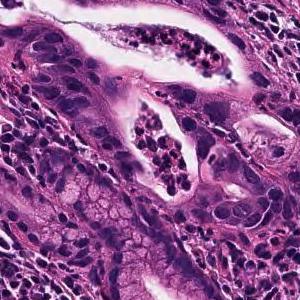
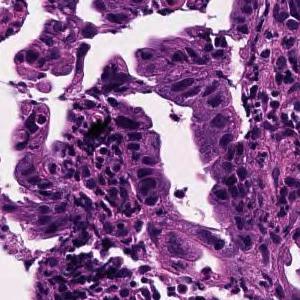
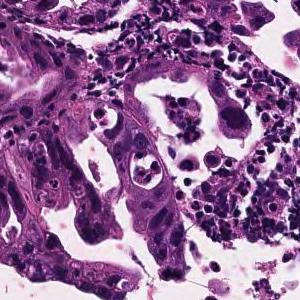
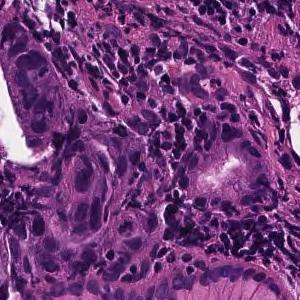
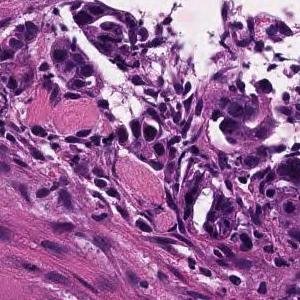
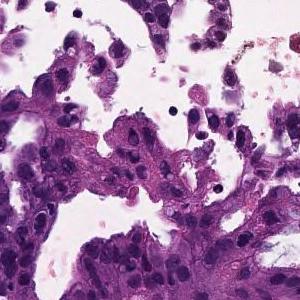
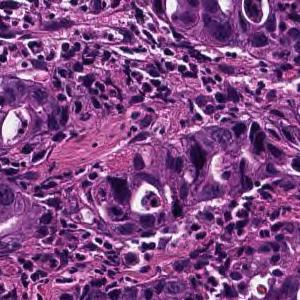
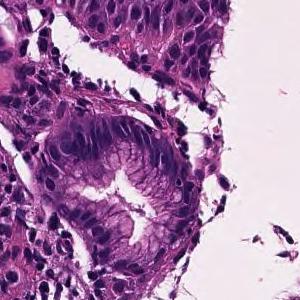
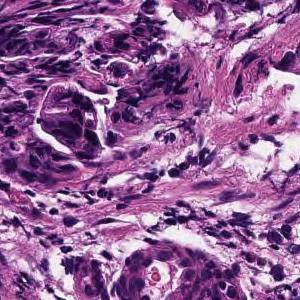
9 tiles from the same stomach biopsy slide, 20× magnification, H&E stain.
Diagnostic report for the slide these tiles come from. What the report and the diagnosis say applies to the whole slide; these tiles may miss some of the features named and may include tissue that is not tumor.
In the superficial epithelium, medium-sized to small irregular glandular ducts are formed, and in some cases, the glandular ducts are fused or small cord-like infiltrating tumor tissue is observed. moderately differentiated tubular adenocarcinoma
